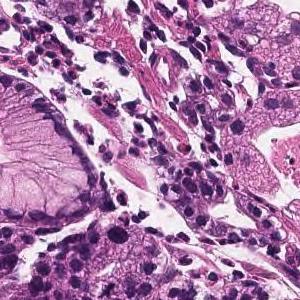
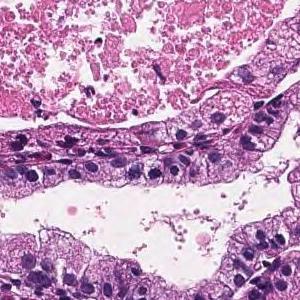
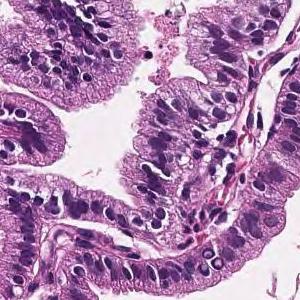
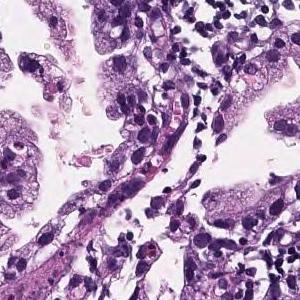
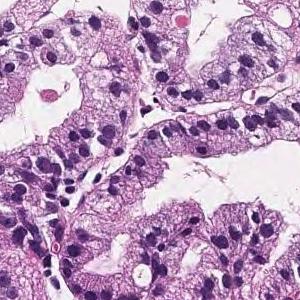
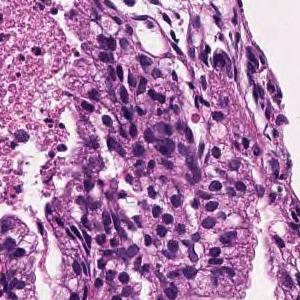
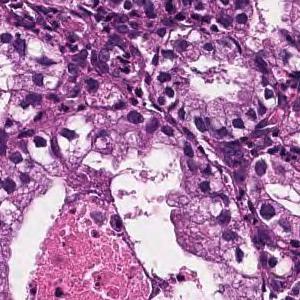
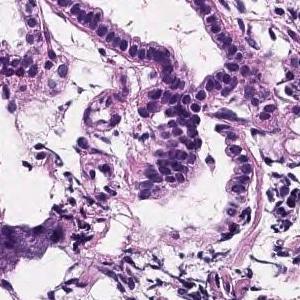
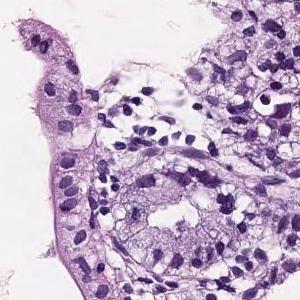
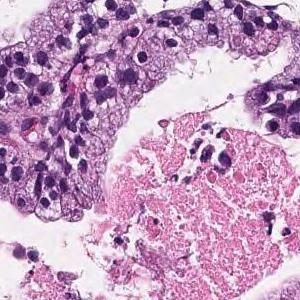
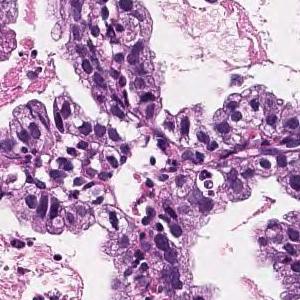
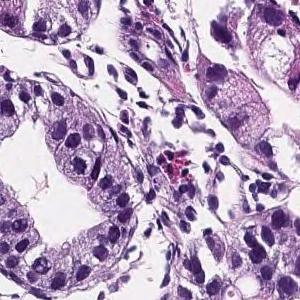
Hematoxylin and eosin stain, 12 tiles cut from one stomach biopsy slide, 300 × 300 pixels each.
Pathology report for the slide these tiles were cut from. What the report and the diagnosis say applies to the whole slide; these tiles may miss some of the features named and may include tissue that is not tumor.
In the superficial epithelium, tumor tissue that infiltrates by forming medium-sized papillary or small irregular ducts is observed. Papillary adenocarcinoma
